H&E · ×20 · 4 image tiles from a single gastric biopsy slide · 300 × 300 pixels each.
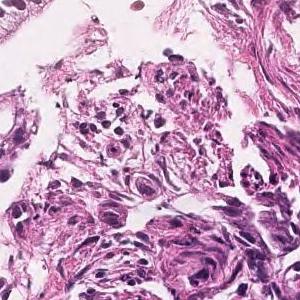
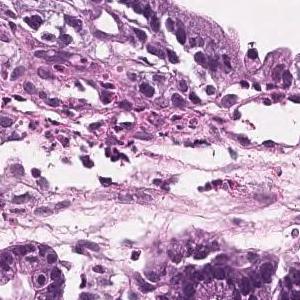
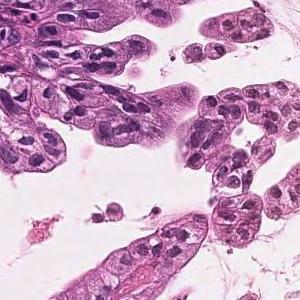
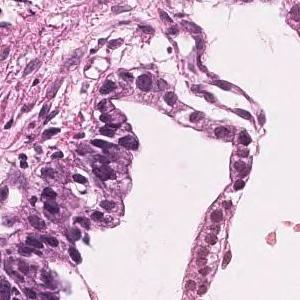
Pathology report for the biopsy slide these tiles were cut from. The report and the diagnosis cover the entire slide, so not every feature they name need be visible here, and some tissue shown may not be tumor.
Tumor cells are large, highly columnar, large club-shaped nuclei, and are associated with chromatin aggregation. Papillary adenocarcinoma.
